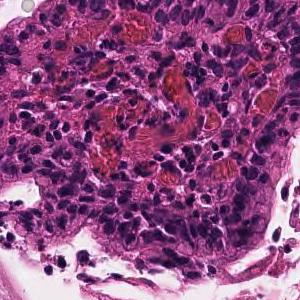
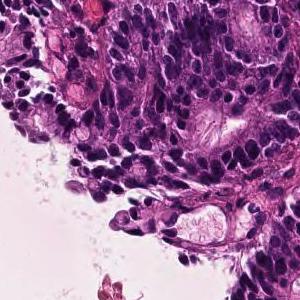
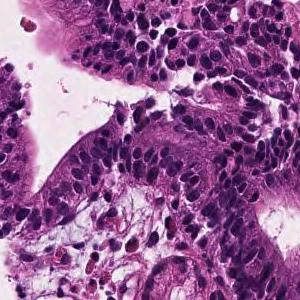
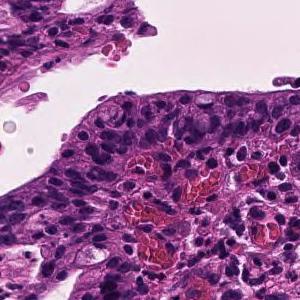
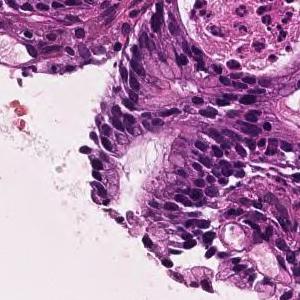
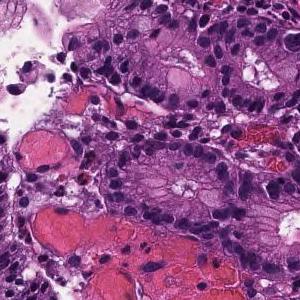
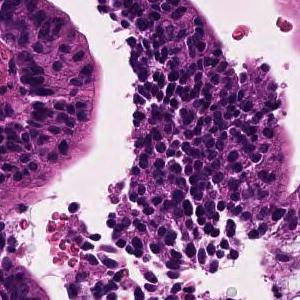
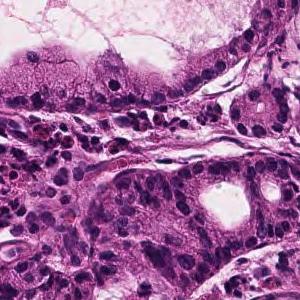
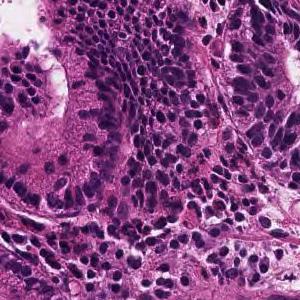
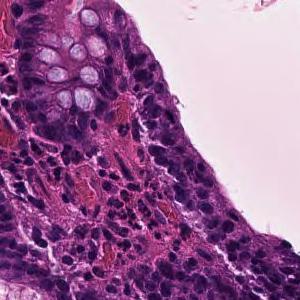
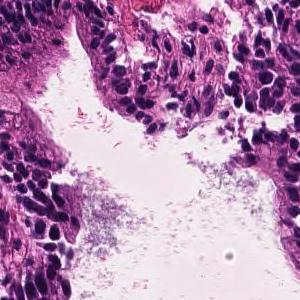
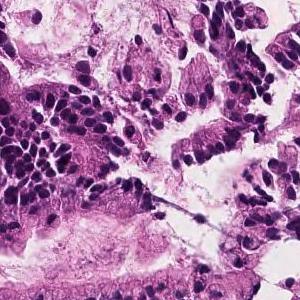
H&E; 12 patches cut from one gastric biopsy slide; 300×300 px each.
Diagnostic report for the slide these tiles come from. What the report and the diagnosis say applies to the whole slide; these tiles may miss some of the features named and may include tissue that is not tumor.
In the superficial epithelium, tumor tissue that invades by forming medium-sized to small, irregular ducts is observed. moderately differentiated tubular adenocarcinoma.
